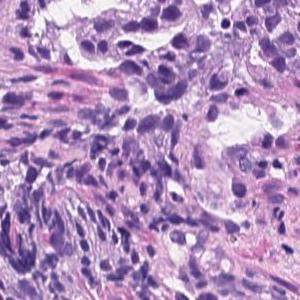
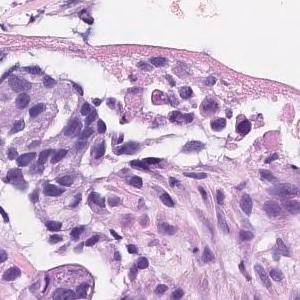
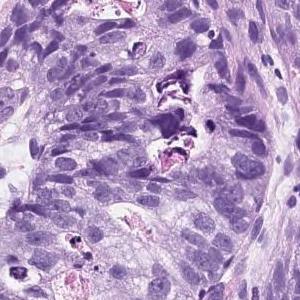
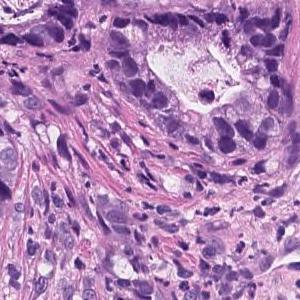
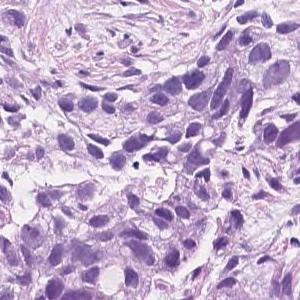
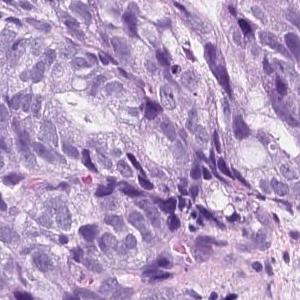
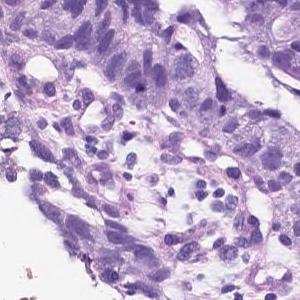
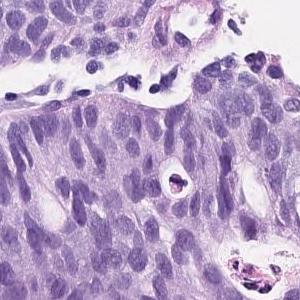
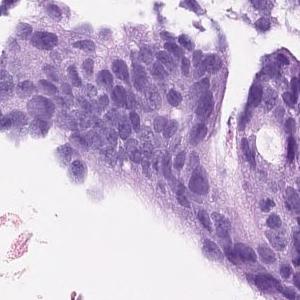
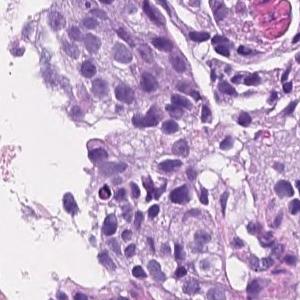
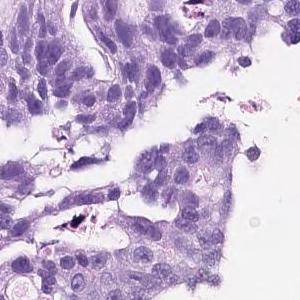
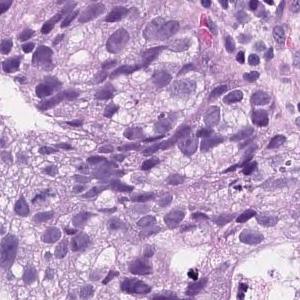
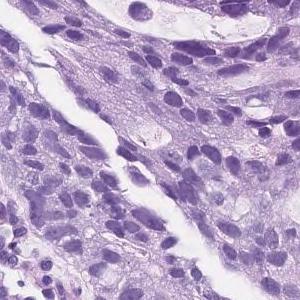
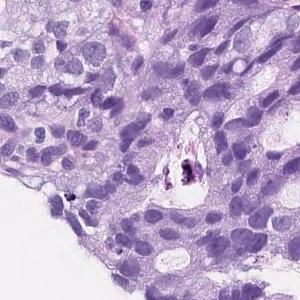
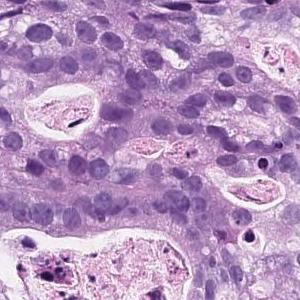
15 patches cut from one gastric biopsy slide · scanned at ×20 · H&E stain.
The pathologist's report on the biopsy slide these tiles were taken from. Both the report and the diagnosis are for the whole slide: these tiles need not show every feature named, and some of the tissue shown may not be tumor.
On the superficial epithelium, tumor tissue consisting of an image of large, irregular glandular ducts partially fused and infiltrated is observed. Well to moderately differentiated tubular adenocarcinoma
